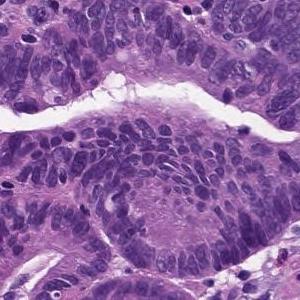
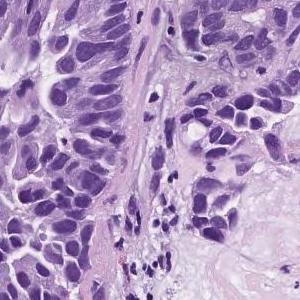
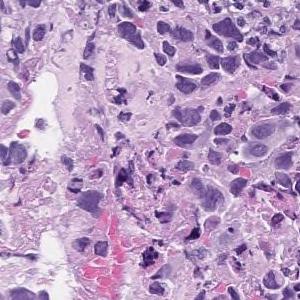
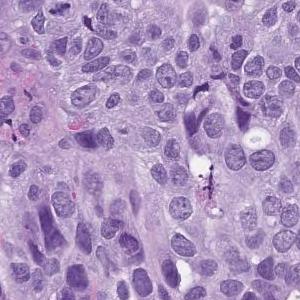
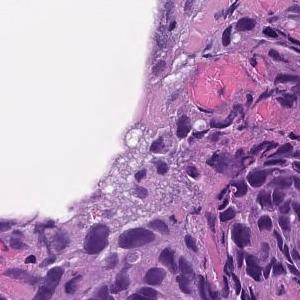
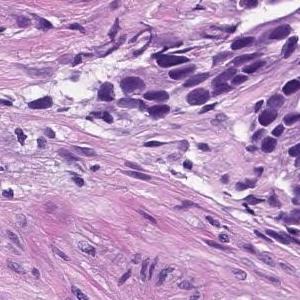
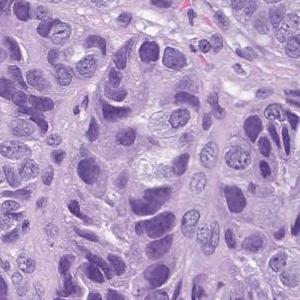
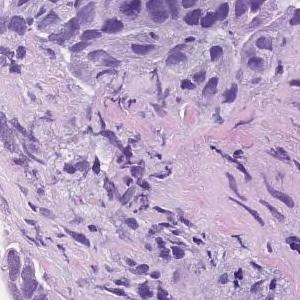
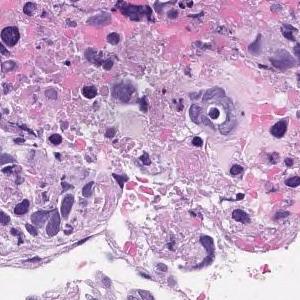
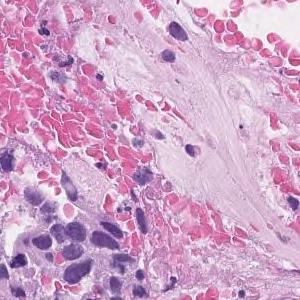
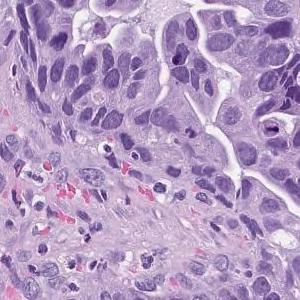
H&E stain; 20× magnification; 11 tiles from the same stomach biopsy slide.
Report on the slide these tiles come from. The report describes the whole slide, diagnosis included: not every finding it names need appear in these tiles, which may also show non-tumor tissue.
In the superficial epithelium, tumor tissue that invades by forming medium-sized to small, irregular ducts is observed. moderately differentiated tubular adenocarcinoma.
